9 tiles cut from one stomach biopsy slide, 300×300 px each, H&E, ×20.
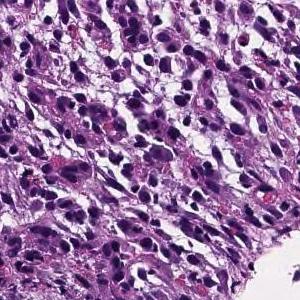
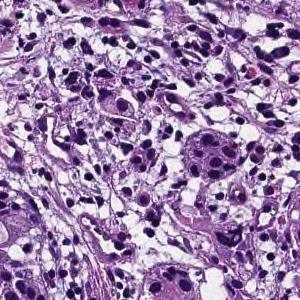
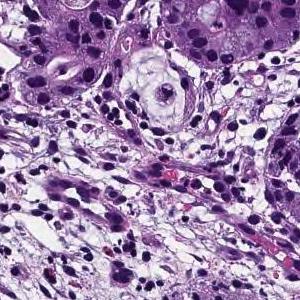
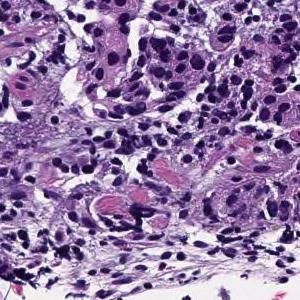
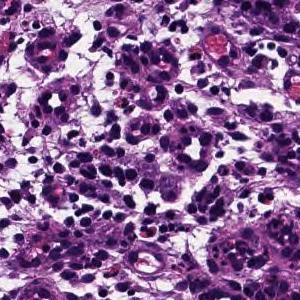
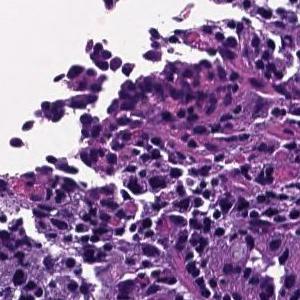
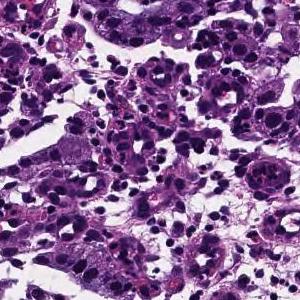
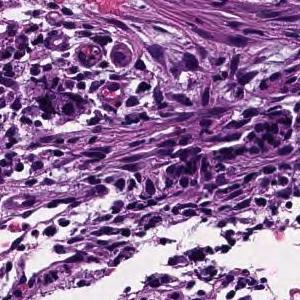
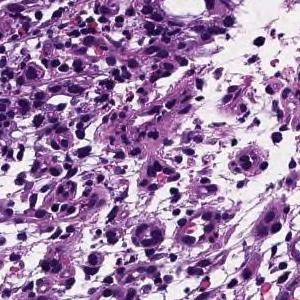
Report on the slide these tiles come from. The report and the diagnosis describe the slide as a whole, so these tiles may not show every feature named and may include non-tumor tissue.
Tumor tissue consisting of cord-like or small, irregular glandular ducts fused and infiltrated is observed in the superficial epithelium. Poorly differentiated adenocarcinoma, non-solid type
"Non-solid type" is a category of the Japanese Classification of Gastric Carcinoma.
